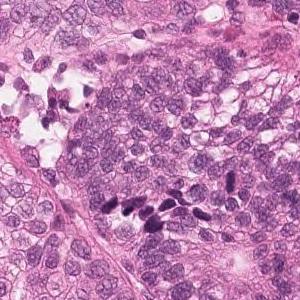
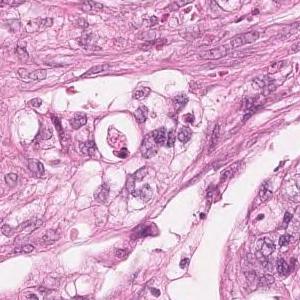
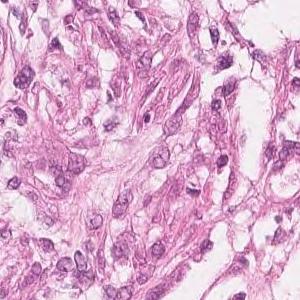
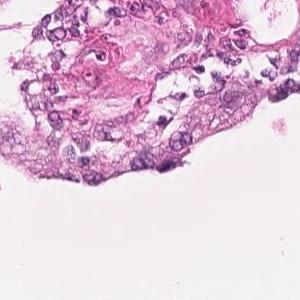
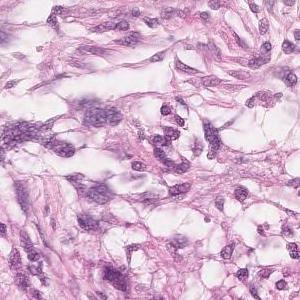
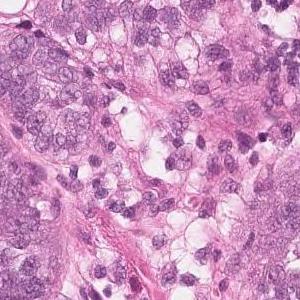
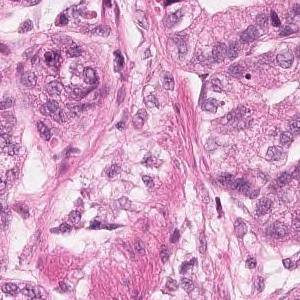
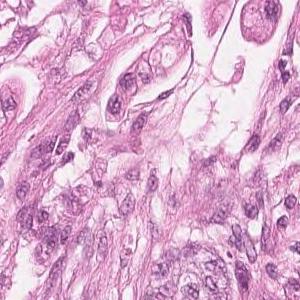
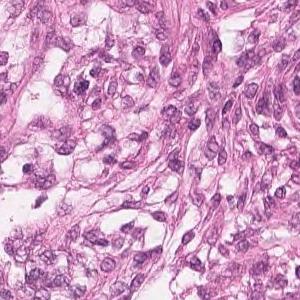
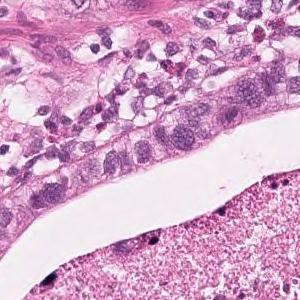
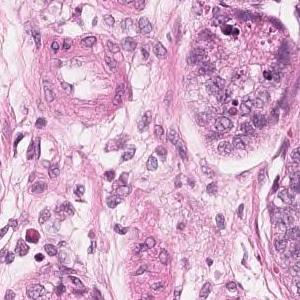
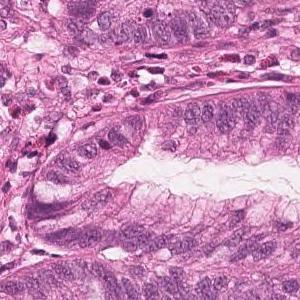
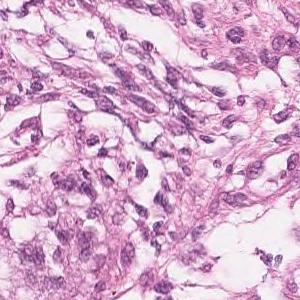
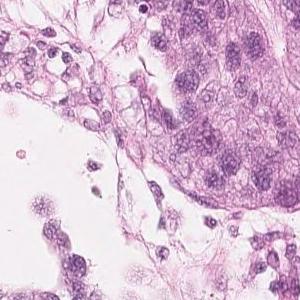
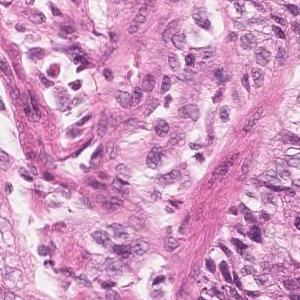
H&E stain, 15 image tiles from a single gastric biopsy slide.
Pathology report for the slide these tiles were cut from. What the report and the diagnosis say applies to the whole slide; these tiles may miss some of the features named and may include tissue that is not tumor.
Highly columnar epithelium with disordered nuclear localization proliferates showing fusion ductal construction. moderately differentiated tubular adenocarcinoma
